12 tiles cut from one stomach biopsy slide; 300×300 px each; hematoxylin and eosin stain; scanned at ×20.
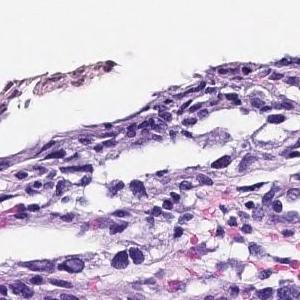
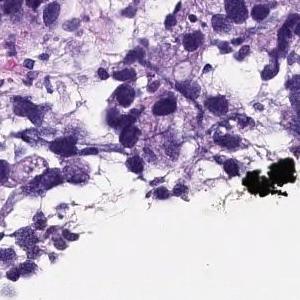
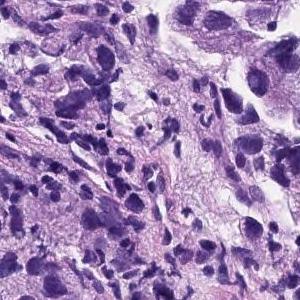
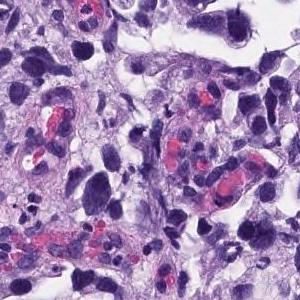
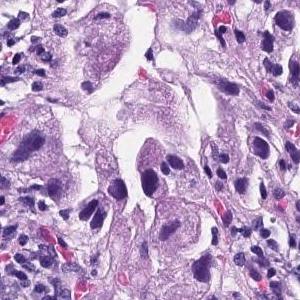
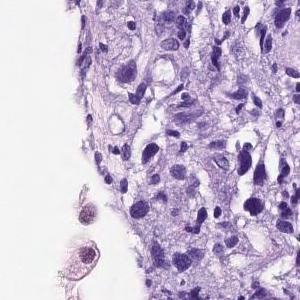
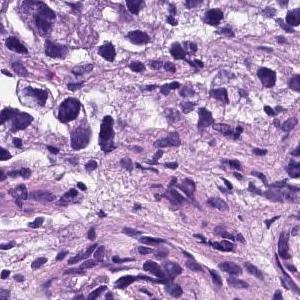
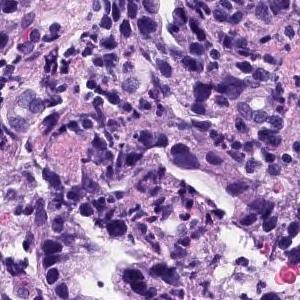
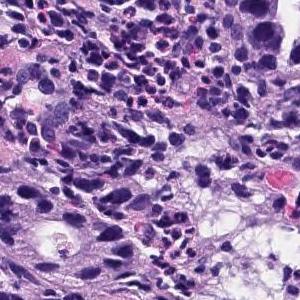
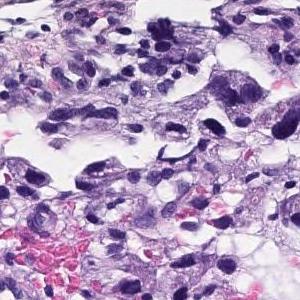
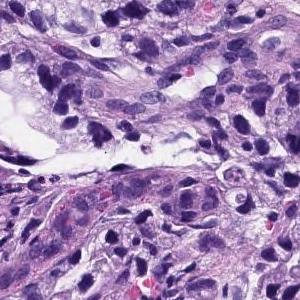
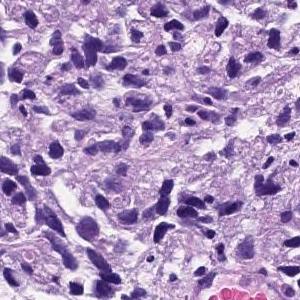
The pathologist's report on the biopsy slide these tiles were taken from. The report describes the whole slide, diagnosis included: not every finding it names need appear in these tiles, which may also show non-tumor tissue.
Medium to small, irregular glandular ducts are formed in the superficial epithelium, and in some cases, the glandular ducts are fused to show solid alveolar lesions and infiltrating tumor tissue is observed. Poorly differentiated adenocarcinoma, Moderately differentiated adenocarcinoma.
The dataset labels this slide moderately differentiated tubular adenocarcinoma.
